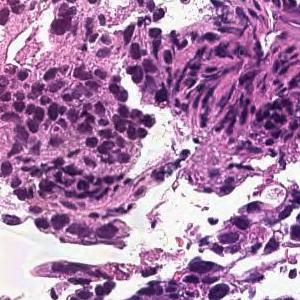
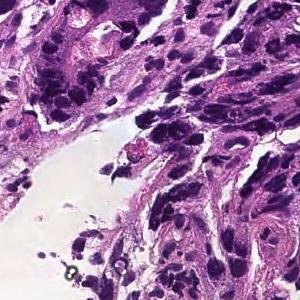
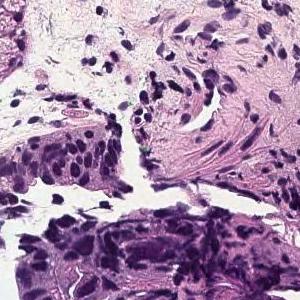
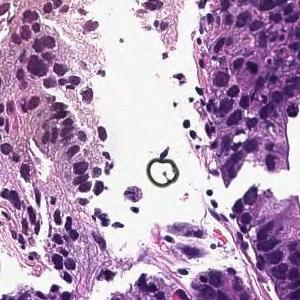
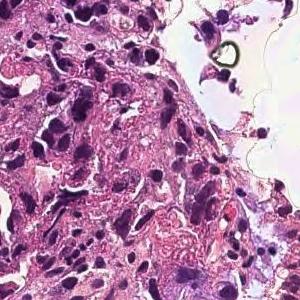
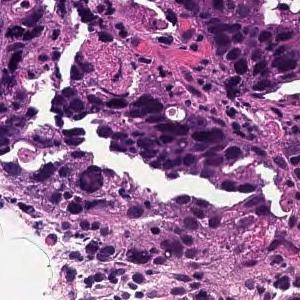
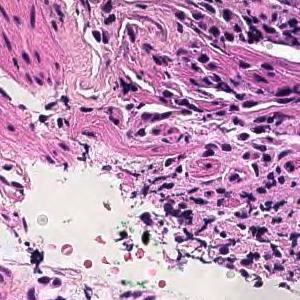
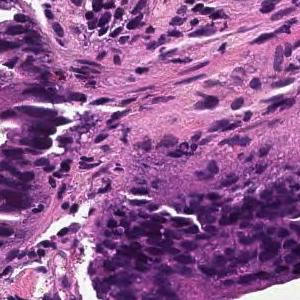
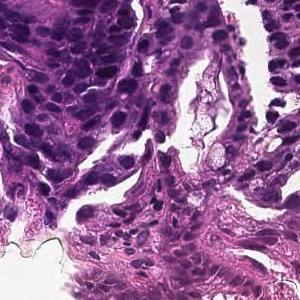
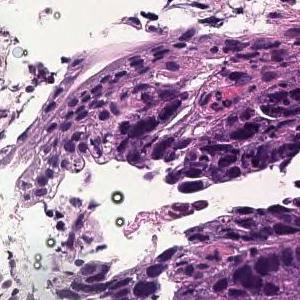
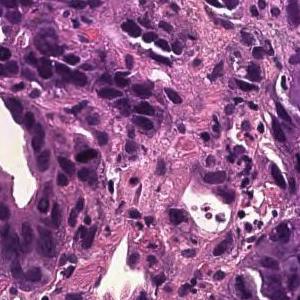
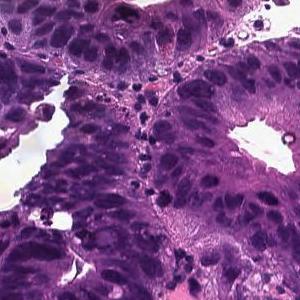
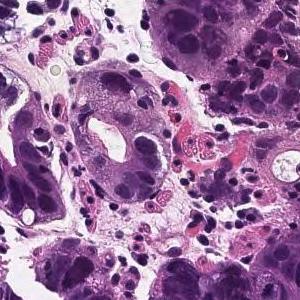
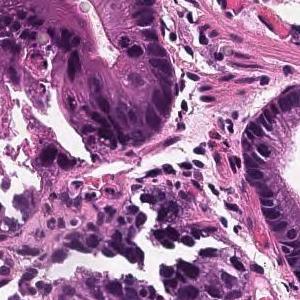
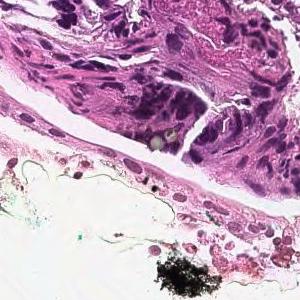
15 image tiles from a single gastric biopsy slide · ×20 · H&E stain.
Diagnostic report for the slide these tiles come from. The findings and the diagnosis refer to the entire slide; these tiles show only part of it, possibly with non-tumor tissue, and may not show every feature named.
In the superficial epithelium, tumor tissue that invades by forming medium-sized to small, irregular ducts is observed. moderately differentiated tubular adenocarcinoma.
